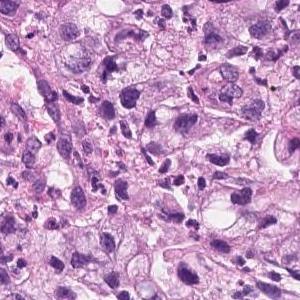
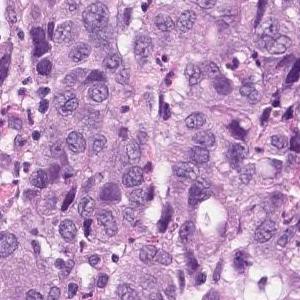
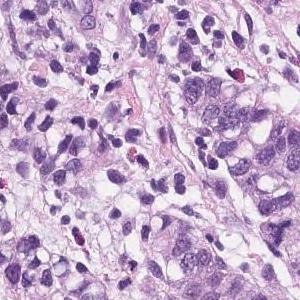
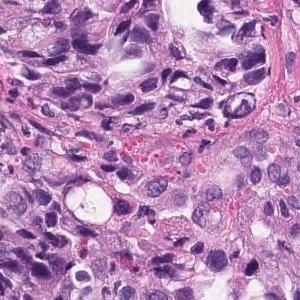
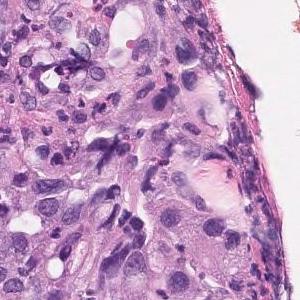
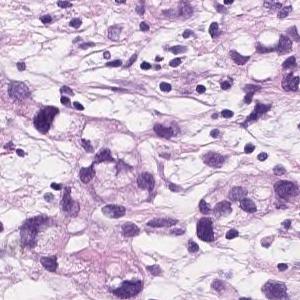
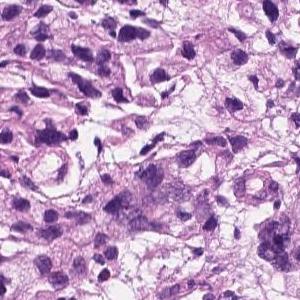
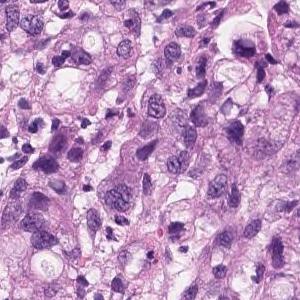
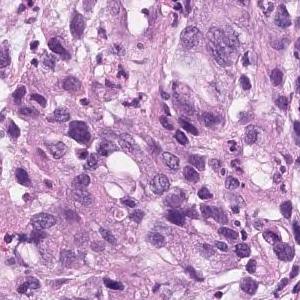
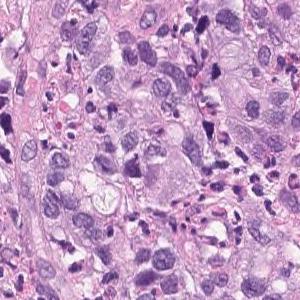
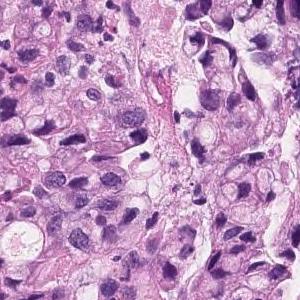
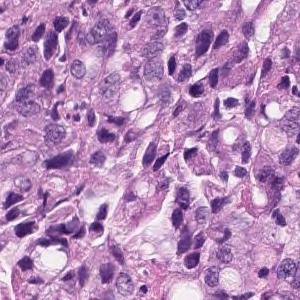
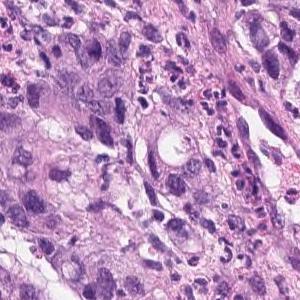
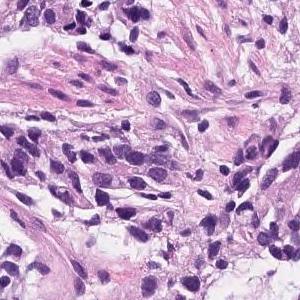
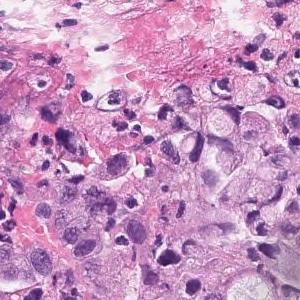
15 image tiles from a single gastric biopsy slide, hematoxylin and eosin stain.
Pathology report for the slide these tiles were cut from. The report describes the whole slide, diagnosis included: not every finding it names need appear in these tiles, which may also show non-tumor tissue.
Group 5, Adenocarcinoma. Poorly differentiated adenocarcinoma, non-solid type
"Non-solid type" is a category of the Japanese Classification of Gastric Carcinoma.
